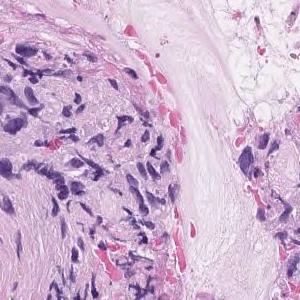
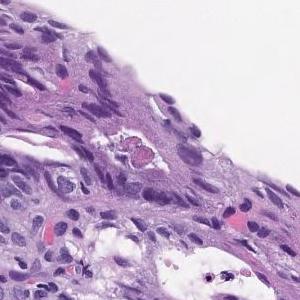
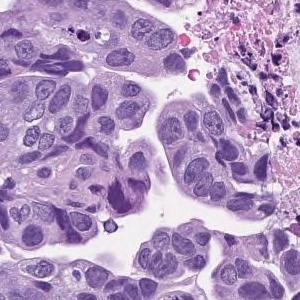
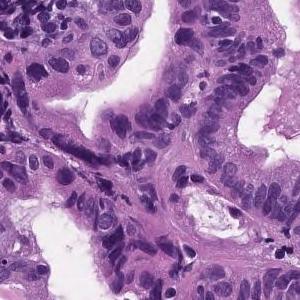
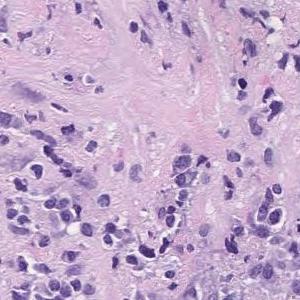
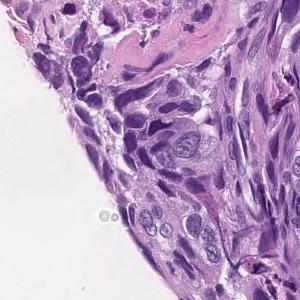
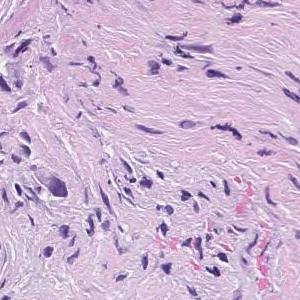
H&E stain; 7 image tiles from a single gastric biopsy slide.
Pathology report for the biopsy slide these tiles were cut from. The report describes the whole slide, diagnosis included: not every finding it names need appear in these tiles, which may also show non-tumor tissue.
In the superficial epithelium, tumor tissue that invades by forming medium-sized to small, irregular ducts is observed. moderately differentiated tubular adenocarcinoma.
